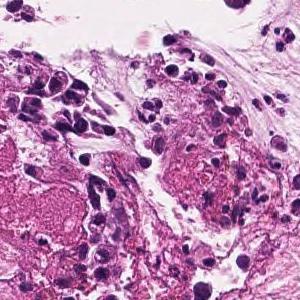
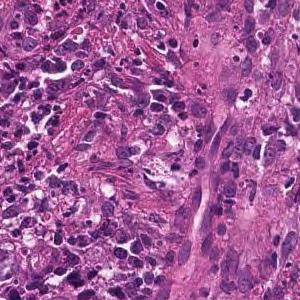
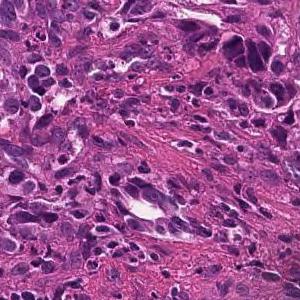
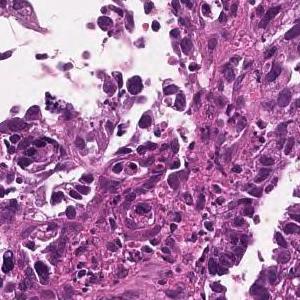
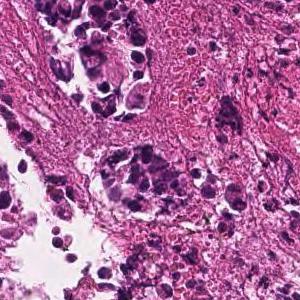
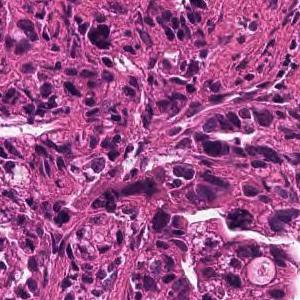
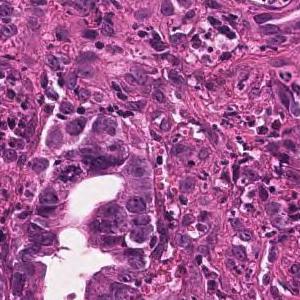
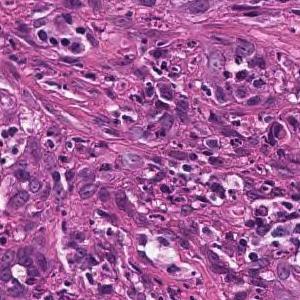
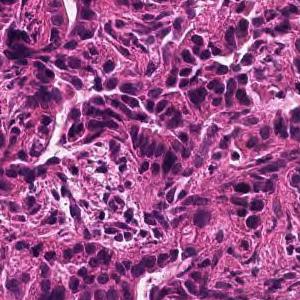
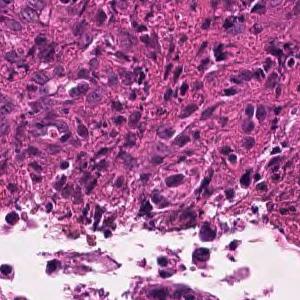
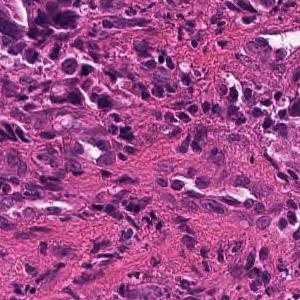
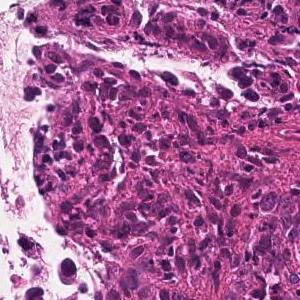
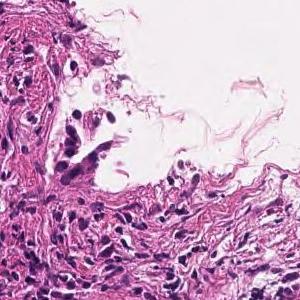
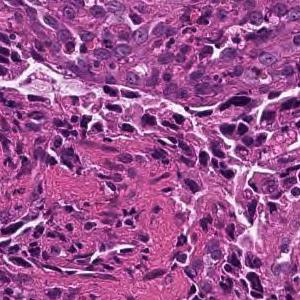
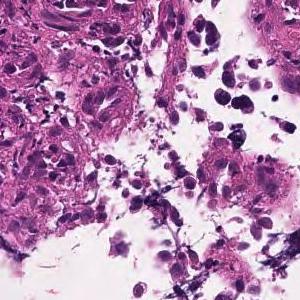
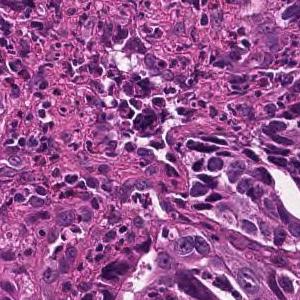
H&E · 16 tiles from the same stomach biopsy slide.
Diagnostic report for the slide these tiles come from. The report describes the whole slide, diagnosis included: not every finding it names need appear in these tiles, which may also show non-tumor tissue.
In the superficial epithelium, tumor tissue that invades by forming medium-sized to small, irregular ducts is observed. moderately differentiated tubular adenocarcinoma.
